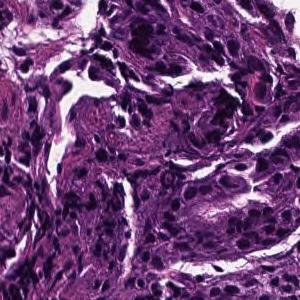
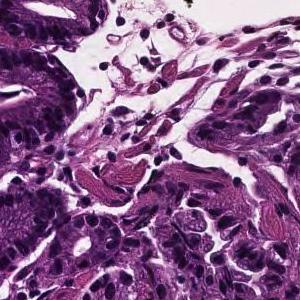
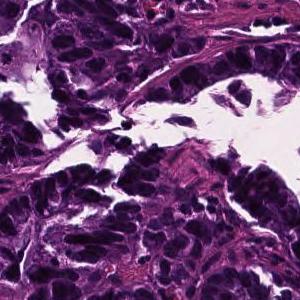
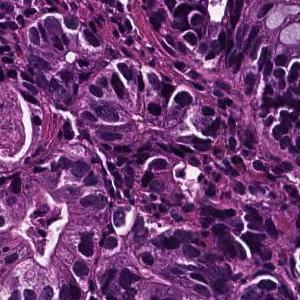
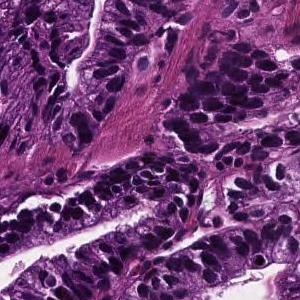
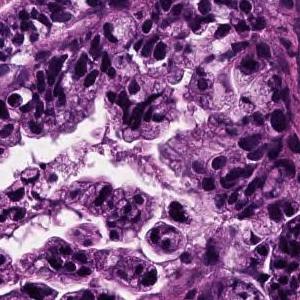
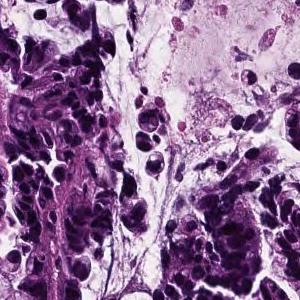
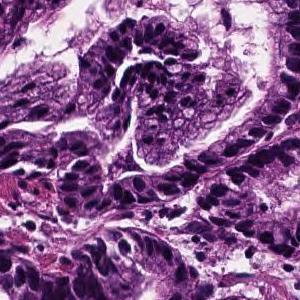
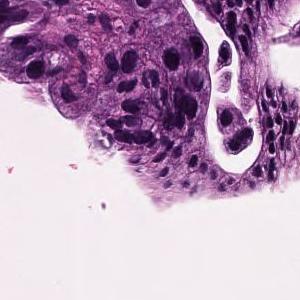
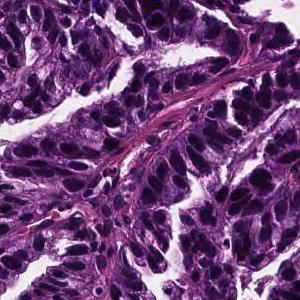
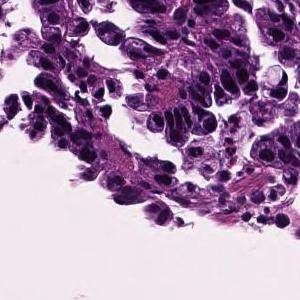
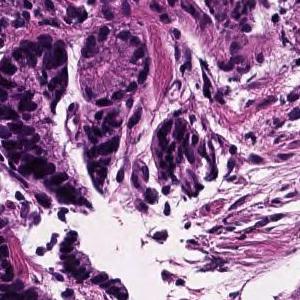
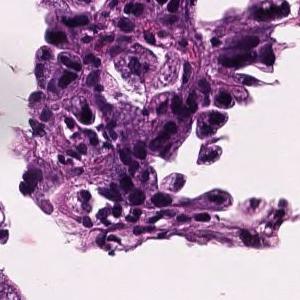
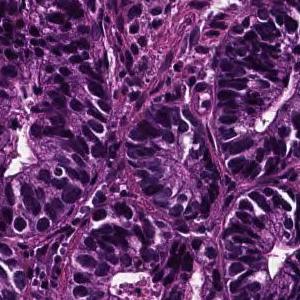
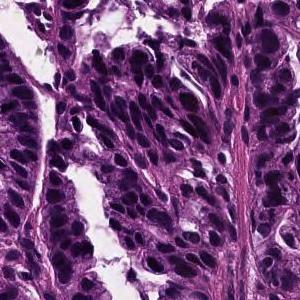
Hematoxylin and eosin stain · 15 tiles cut from one stomach biopsy slide.
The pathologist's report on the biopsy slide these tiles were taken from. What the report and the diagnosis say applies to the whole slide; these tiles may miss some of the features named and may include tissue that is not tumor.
In the superficial epithelium, tumor tissue that invades by forming medium-sized to small, irregular ducts is observed. Well differentiated tubular adenocarcinoma.
